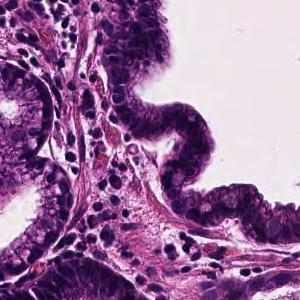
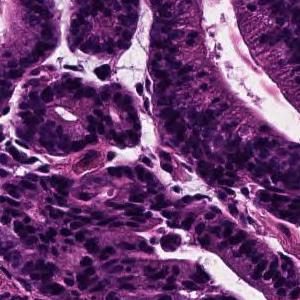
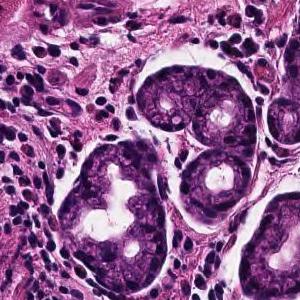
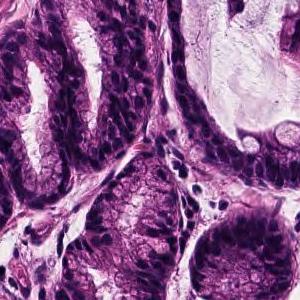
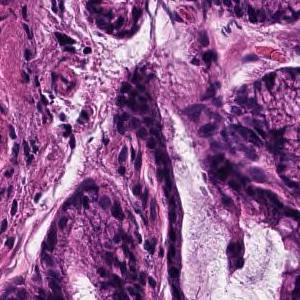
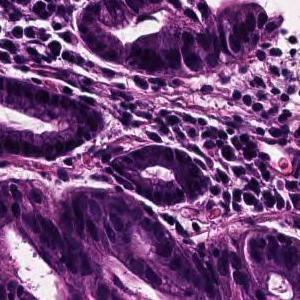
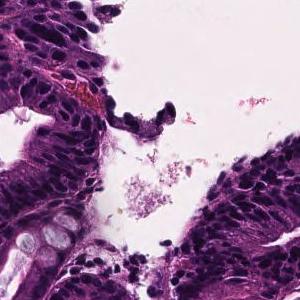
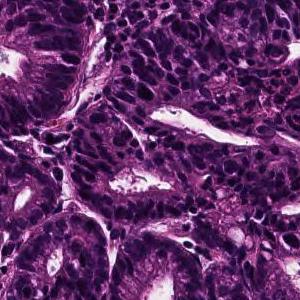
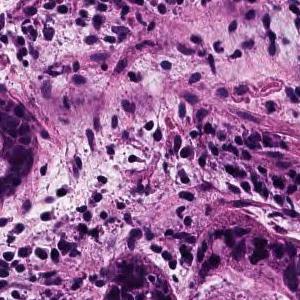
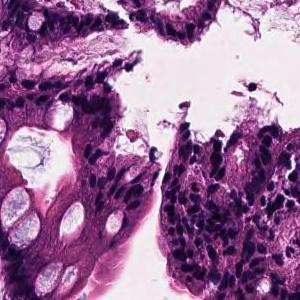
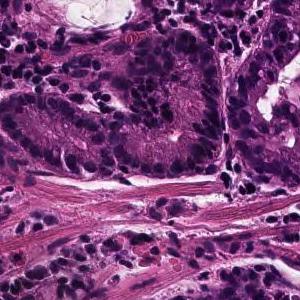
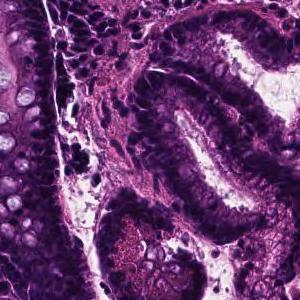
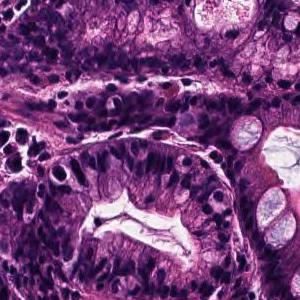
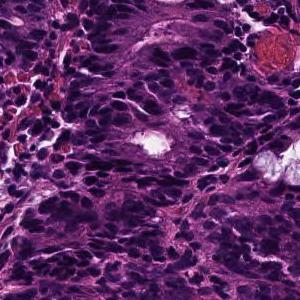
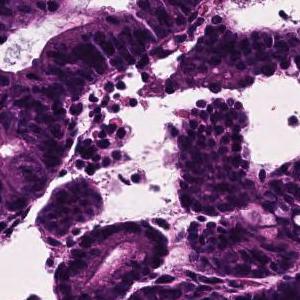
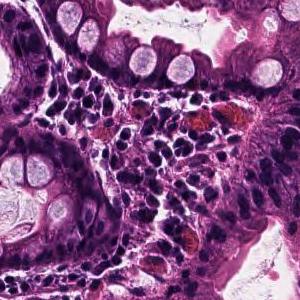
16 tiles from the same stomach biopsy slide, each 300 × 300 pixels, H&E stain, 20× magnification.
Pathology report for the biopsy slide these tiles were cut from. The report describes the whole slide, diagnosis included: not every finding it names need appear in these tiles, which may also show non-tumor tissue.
In the superficial epithelium, tumor tissue infiltrated by partial fusion of medium-sized to small, irregular glandular ducts is observed. moderately differentiated tubular adenocarcinoma
